9 tiles from the same stomach biopsy slide · ×20 · hematoxylin and eosin stain.
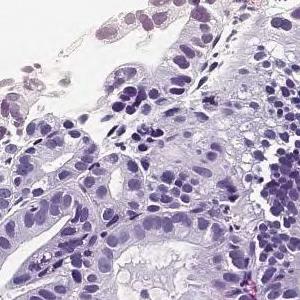
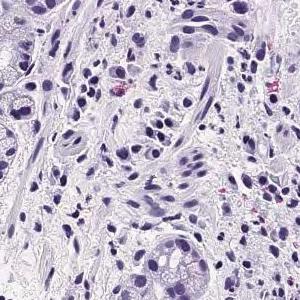
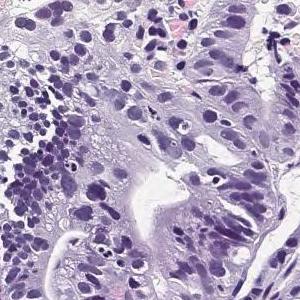
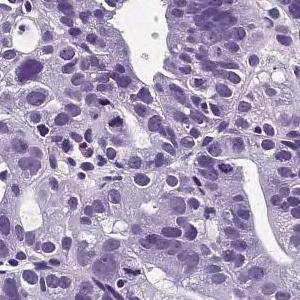
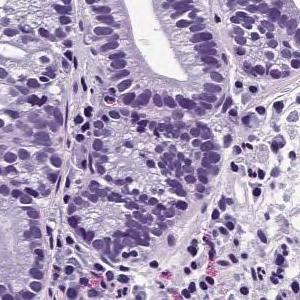
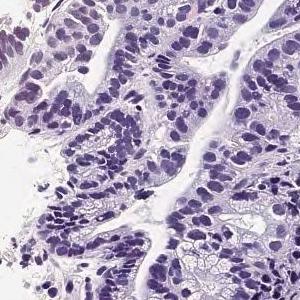
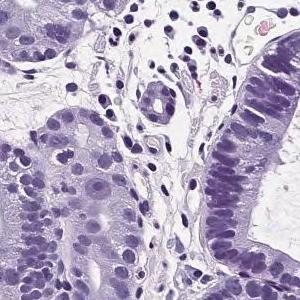
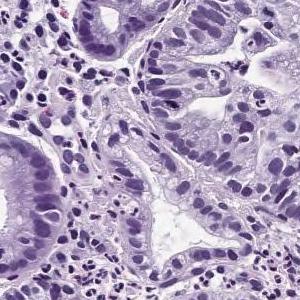
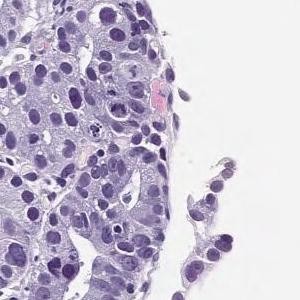
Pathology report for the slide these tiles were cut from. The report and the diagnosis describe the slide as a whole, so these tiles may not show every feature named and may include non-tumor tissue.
From the superficial epithelium to the muscularis mucosae, tumor tissue consisting of medium-sized and irregular glandular ducts infiltrating is observed. Well differentiated tubular adenocarcinoma
